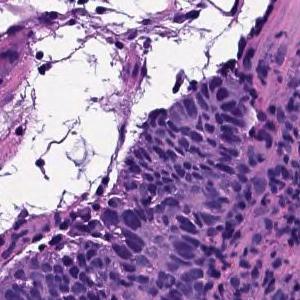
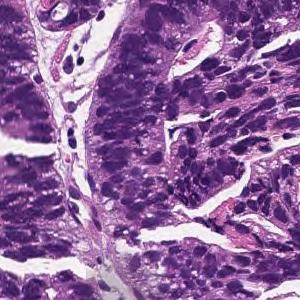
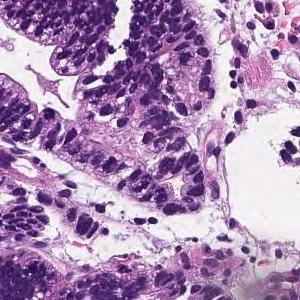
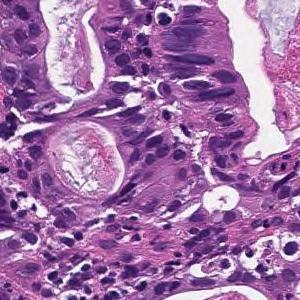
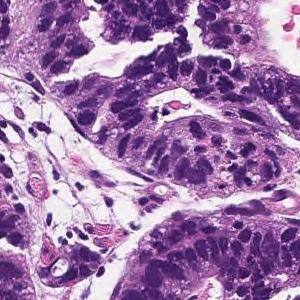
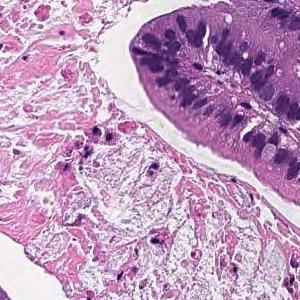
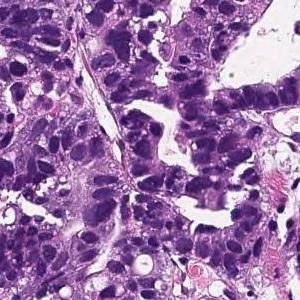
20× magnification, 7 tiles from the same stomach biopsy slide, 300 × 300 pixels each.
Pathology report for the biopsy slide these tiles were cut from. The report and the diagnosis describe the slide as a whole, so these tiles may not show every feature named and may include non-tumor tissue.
In the superficial epithelium, tumor tissue that invades by forming medium-sized to small, irregular ducts is observed. moderately differentiated tubular adenocarcinoma.
